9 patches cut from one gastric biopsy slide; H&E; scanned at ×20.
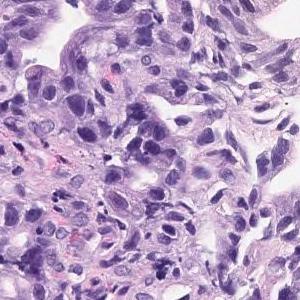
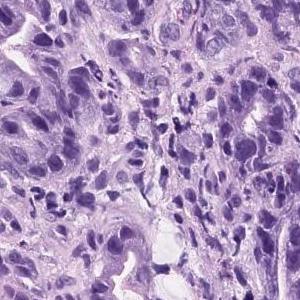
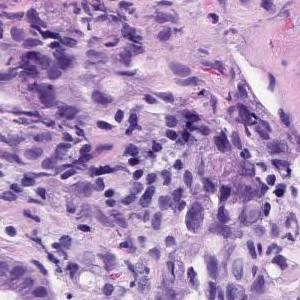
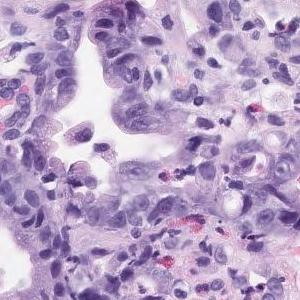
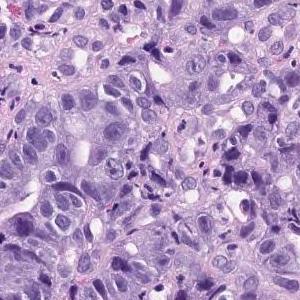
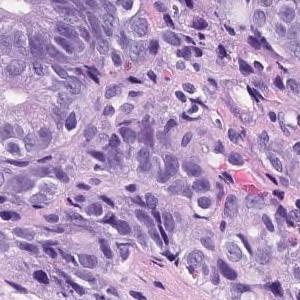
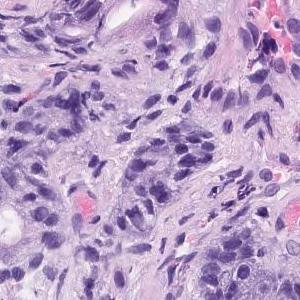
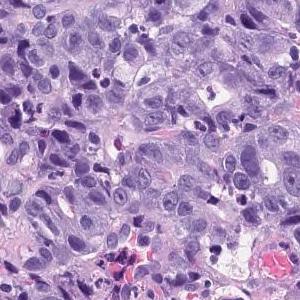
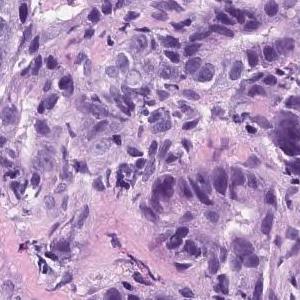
Diagnostic report for the slide these tiles come from. What the report and the diagnosis say applies to the whole slide; these tiles may miss some of the features named and may include tissue that is not tumor.
In the superficial epithelium, tumor tissue that invades by forming medium-sized to small, irregular ducts is observed. Moderately differentiated adenocarcinoma.
Classified as moderately differentiated tubular adenocarcinoma.
